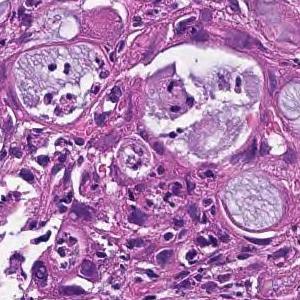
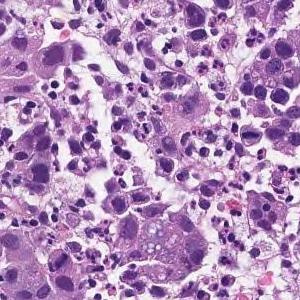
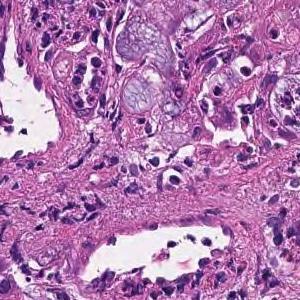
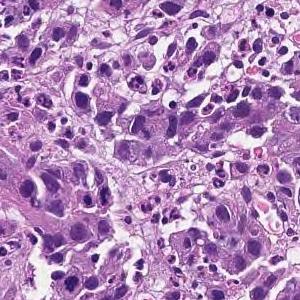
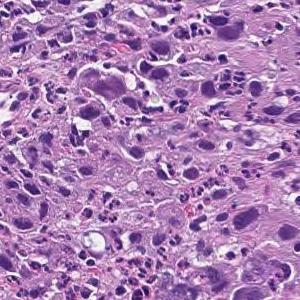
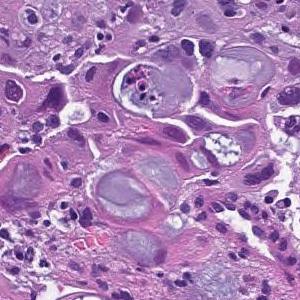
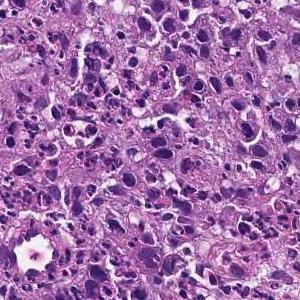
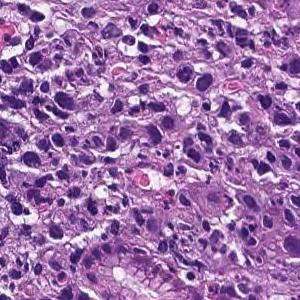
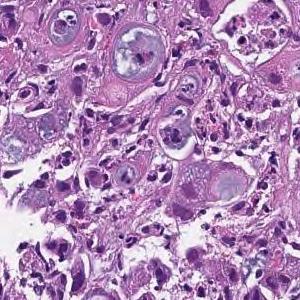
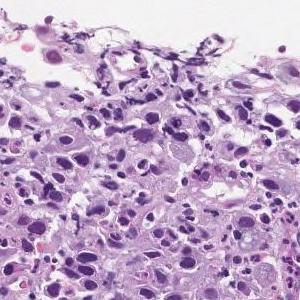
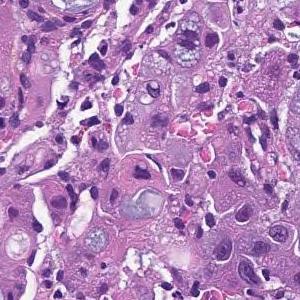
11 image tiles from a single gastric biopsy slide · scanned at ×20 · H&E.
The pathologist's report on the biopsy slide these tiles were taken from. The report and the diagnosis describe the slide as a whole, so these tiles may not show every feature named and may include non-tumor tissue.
The superficial epithelium shows a large sheet-like shape, and some tumor tissue infiltrates with small irregular ducts. Poorly differentiated adenocarcinoma, solid-type
Classified as poorly differentiated adenocarcinoma, solid type. This name comes from the Japanese Classification of Gastric Carcinoma; the WHO 2019 classification calls it tubular adenocarcinoma, poorly differentiated.
